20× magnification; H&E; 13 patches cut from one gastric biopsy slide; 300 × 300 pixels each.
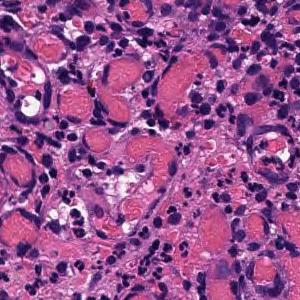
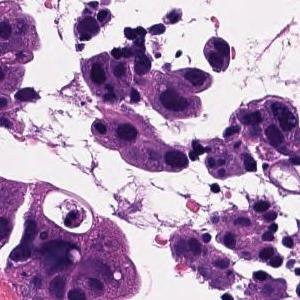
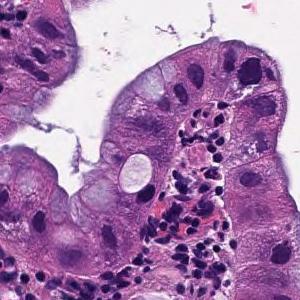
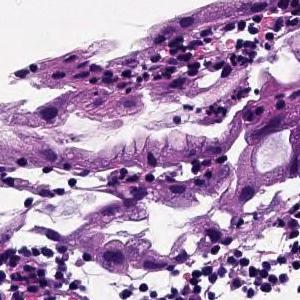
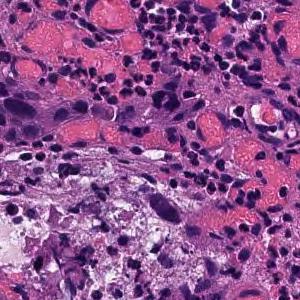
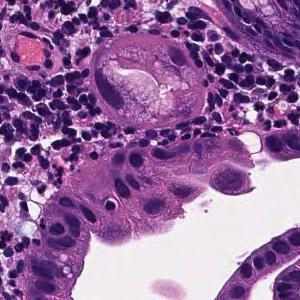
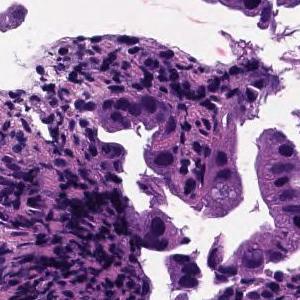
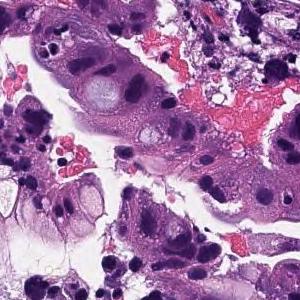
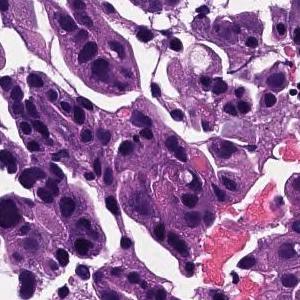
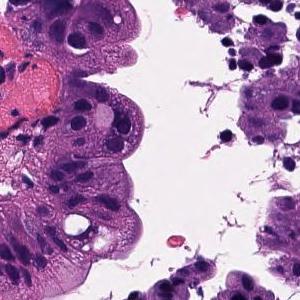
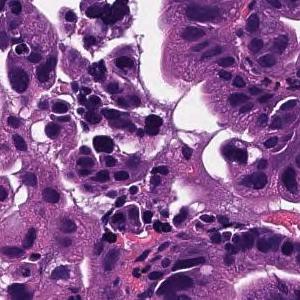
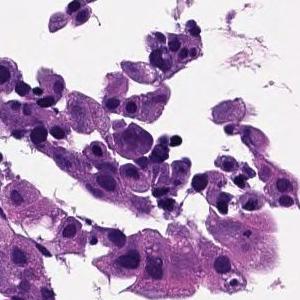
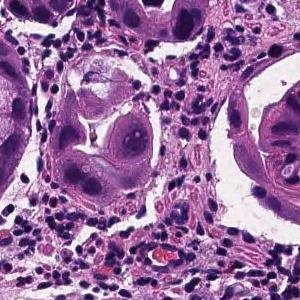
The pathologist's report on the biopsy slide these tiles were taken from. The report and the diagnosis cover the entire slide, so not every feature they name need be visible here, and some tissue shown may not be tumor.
Tumor tissue consisting of large papillary structures is found in the superficial epithelium. Papillary adenocarcinoma.
